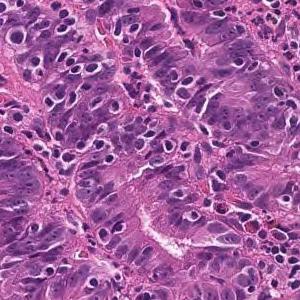
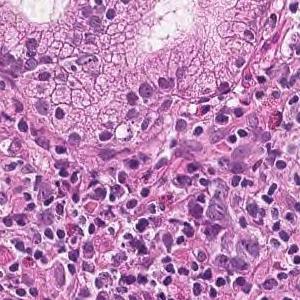
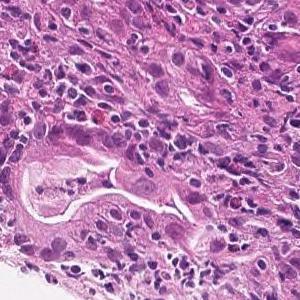
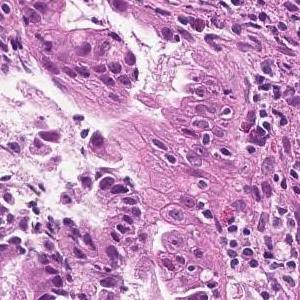
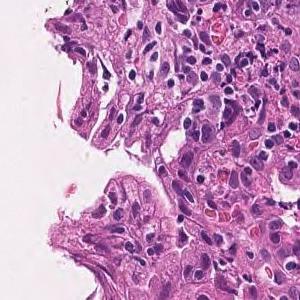
H&E · 5 tiles cut from one stomach biopsy slide.
Pathology report for the biopsy slide these tiles were cut from. The findings and the diagnosis refer to the entire slide; these tiles show only part of it, possibly with non-tumor tissue, and may not show every feature named.
Tumor tissue consisting of medium-sized, cord-like or irregular glandular infiltration is observed in the superficial epithelium. Poorly differentiated adenocarcinoma, non-solid type or moderately differentiated tubular adenocarcinoma
Labeled in the dataset as poorly differentiated adenocarcinoma, non-solid type.
"Non-solid type" is a category of the Japanese Classification of Gastric Carcinoma.
